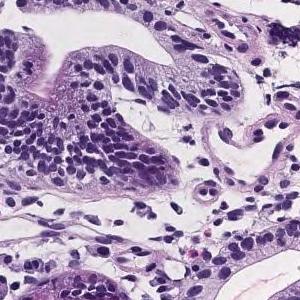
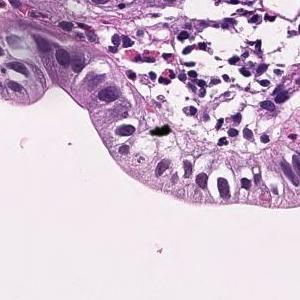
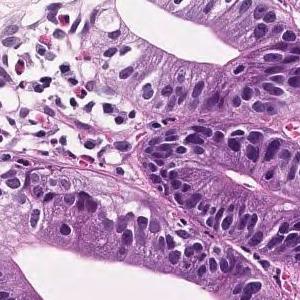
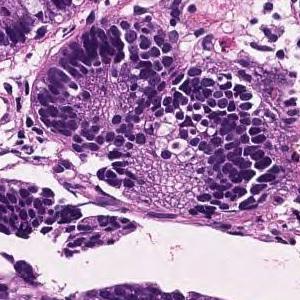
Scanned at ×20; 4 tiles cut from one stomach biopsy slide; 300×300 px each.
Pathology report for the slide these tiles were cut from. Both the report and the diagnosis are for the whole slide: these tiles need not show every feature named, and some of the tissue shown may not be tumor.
In the superficial epithelium, tumor tissue that invades by forming medium-sized to small, irregular ducts is observed. Well differentiated tubular adenocarcinoma.
